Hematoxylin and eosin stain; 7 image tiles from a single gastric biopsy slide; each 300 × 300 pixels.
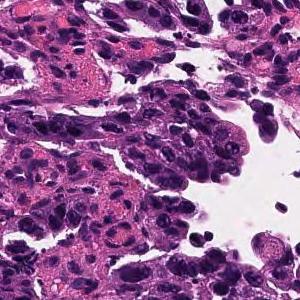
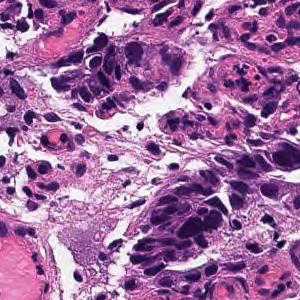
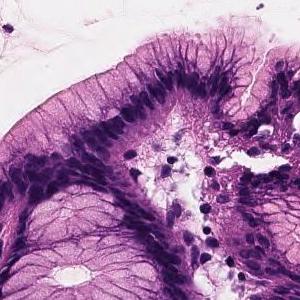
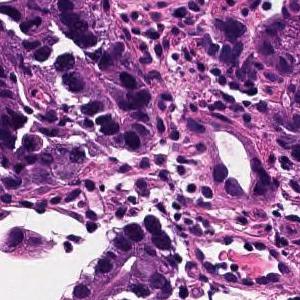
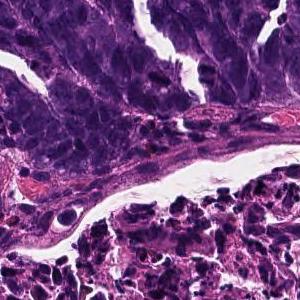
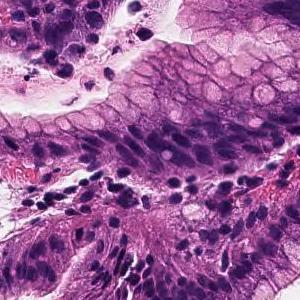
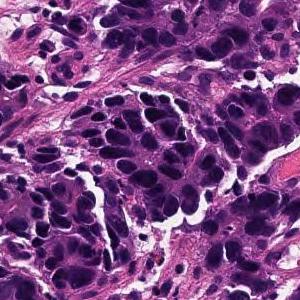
Report on the slide these tiles come from. The report describes the whole slide, diagnosis included: not every finding it names need appear in these tiles, which may also show non-tumor tissue.
In the superficial epithelium, tumor tissue that invades by forming medium-sized to small, irregular ducts is observed. moderately differentiated tubular adenocarcinoma.
